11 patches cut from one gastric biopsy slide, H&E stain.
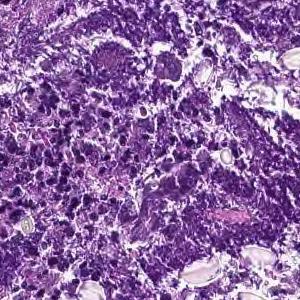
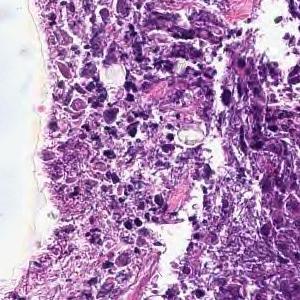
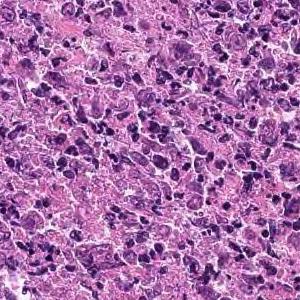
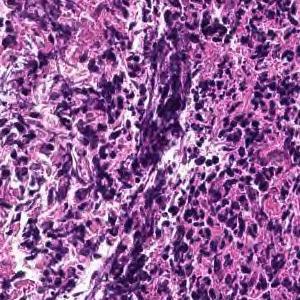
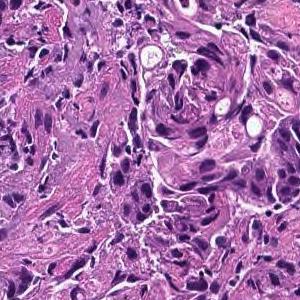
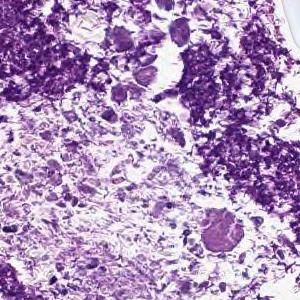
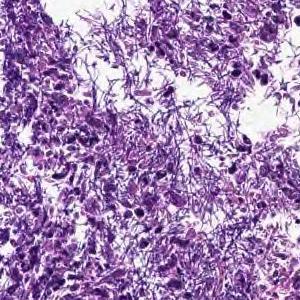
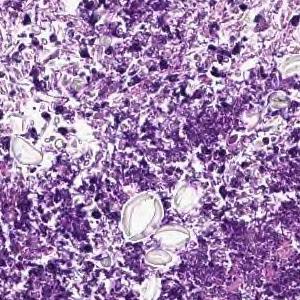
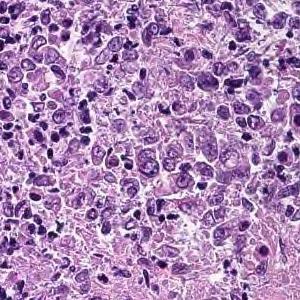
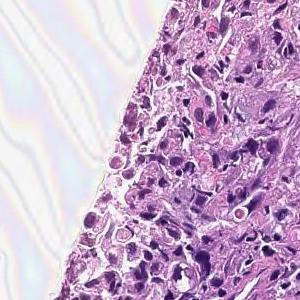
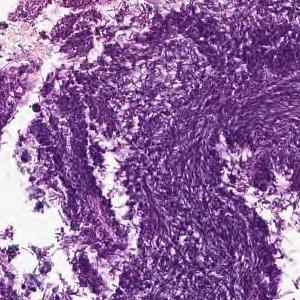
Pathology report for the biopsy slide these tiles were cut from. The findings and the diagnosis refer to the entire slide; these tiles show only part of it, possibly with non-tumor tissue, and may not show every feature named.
Cancers with polygonal nuclei do not show glandular formation and are densely, in part, cord-like and proliferate. Poorly differentiated adenocarcinoma
Tumor subtype: poorly differentiated adenocarcinoma, non-solid type.
"Non-solid type" is a category of the Japanese Classification of Gastric Carcinoma.
